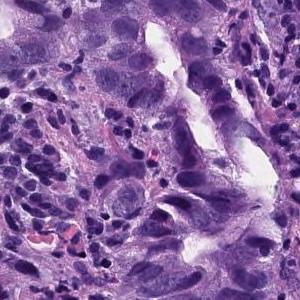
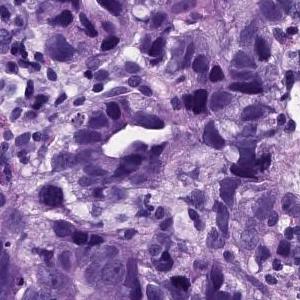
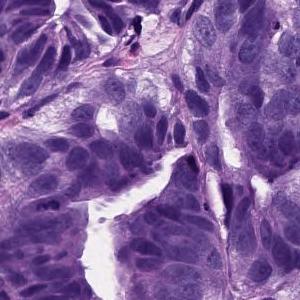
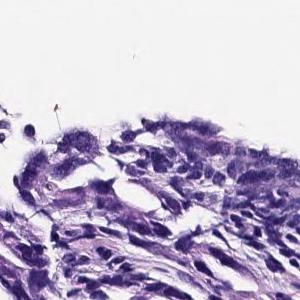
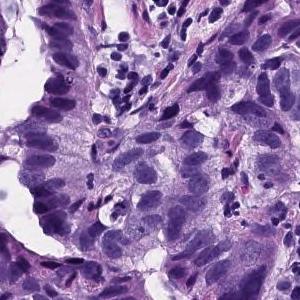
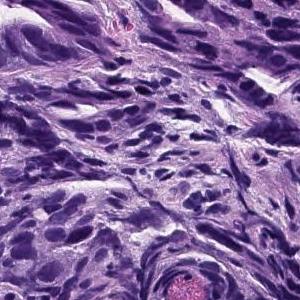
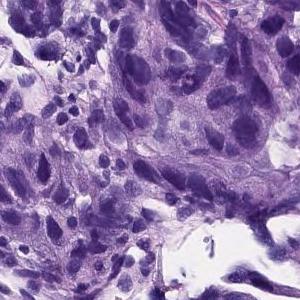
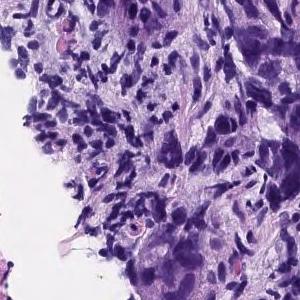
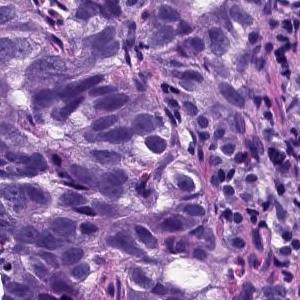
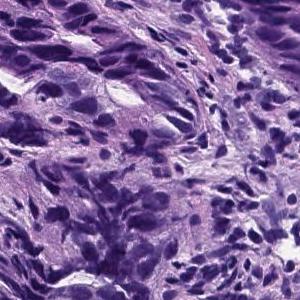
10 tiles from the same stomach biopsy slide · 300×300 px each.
Pathology report for the slide these tiles were cut from. What the report and the diagnosis say applies to the whole slide; these tiles may miss some of the features named and may include tissue that is not tumor.
In the superficial epithelium, tumor tissue that invades by forming medium-sized to small, irregular ducts is observed. Moderately differentiated adenocarcinoma.
Histologic type: Moderately differentiated tubular adenocarcinoma.
